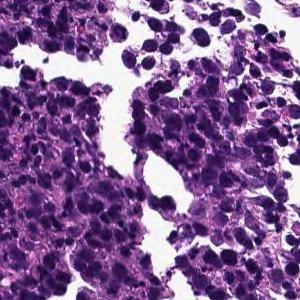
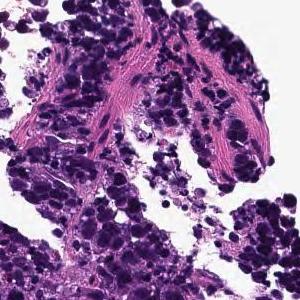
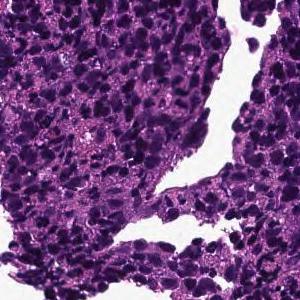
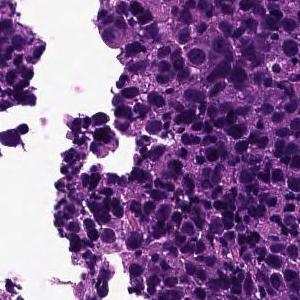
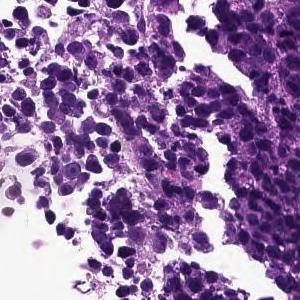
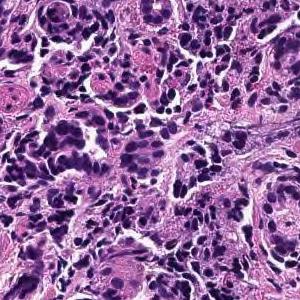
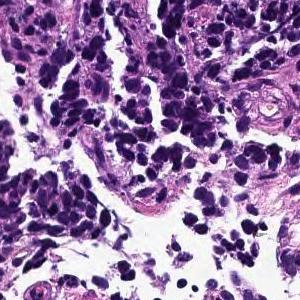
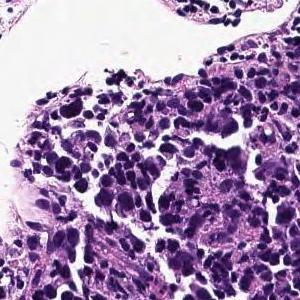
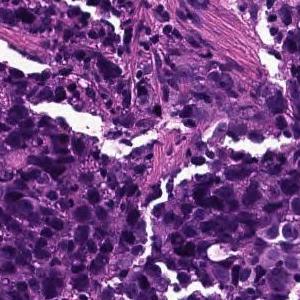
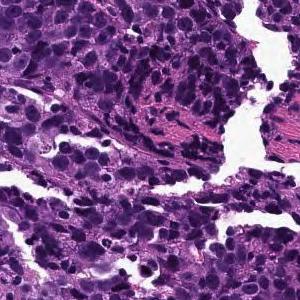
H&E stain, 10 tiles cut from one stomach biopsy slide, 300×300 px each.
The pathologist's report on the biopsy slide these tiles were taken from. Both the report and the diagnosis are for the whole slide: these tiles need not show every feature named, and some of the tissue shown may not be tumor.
The superficial epithelium shows large alveolar or sheet-like forms, and some tumor tissue infiltrates with small irregular ducts. Poorly differentiated adenocarcinoma, solid-type
Histologic type: Poorly differentiated adenocarcinoma, solid type, a category of the Japanese Classification of Gastric Carcinoma; in the WHO 2019 classification it is tubular adenocarcinoma, poorly differentiated.
